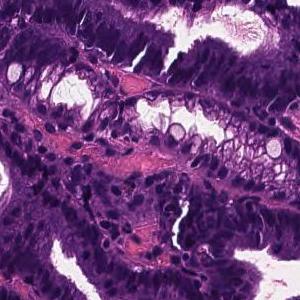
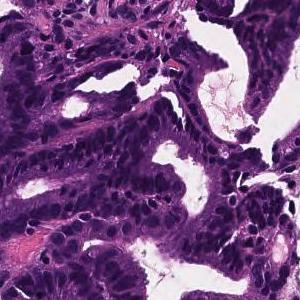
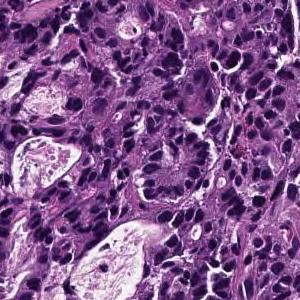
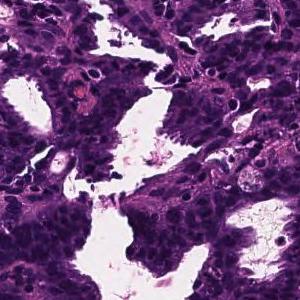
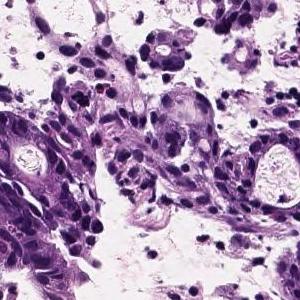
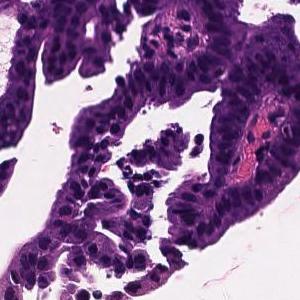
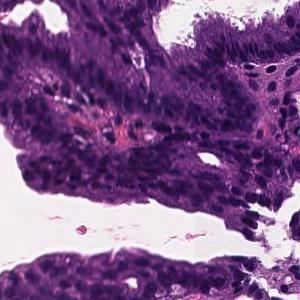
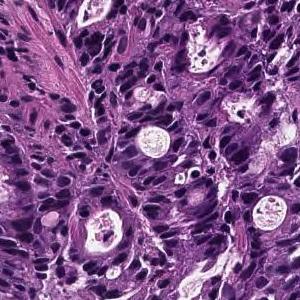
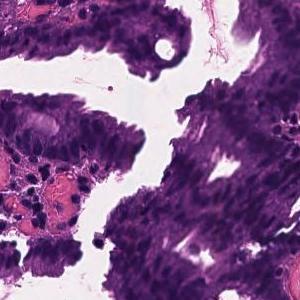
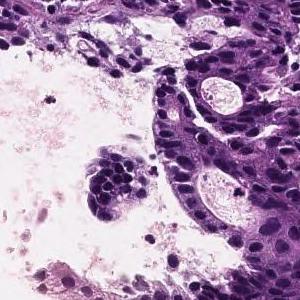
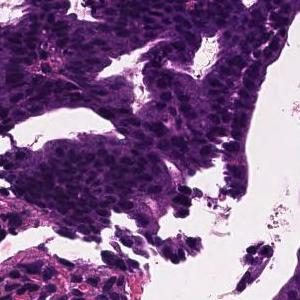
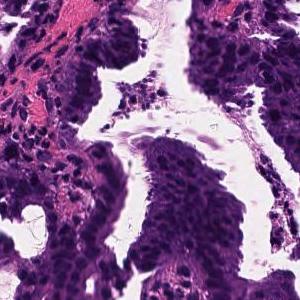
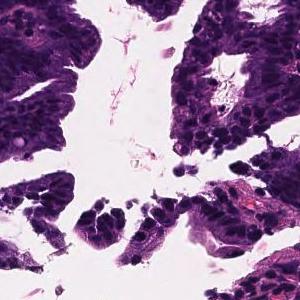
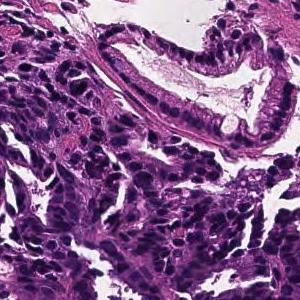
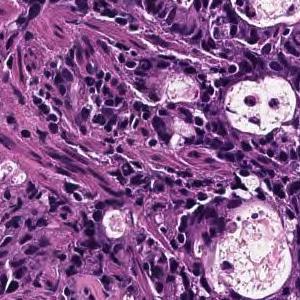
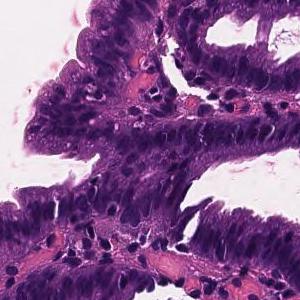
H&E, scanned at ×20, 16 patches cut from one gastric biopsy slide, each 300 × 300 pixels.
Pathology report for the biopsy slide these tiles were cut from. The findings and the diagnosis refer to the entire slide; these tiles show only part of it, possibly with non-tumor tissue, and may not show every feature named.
In the superficial epithelium, tumor tissue that invades by forming medium-sized to small, irregular ducts is observed. moderately differentiated tubular adenocarcinoma.
